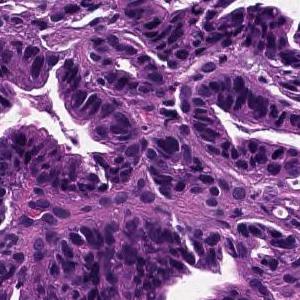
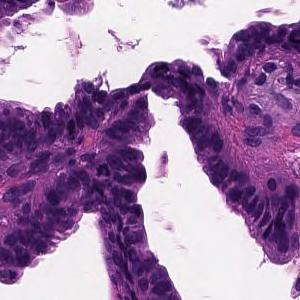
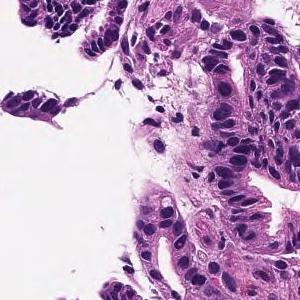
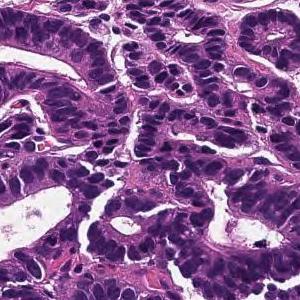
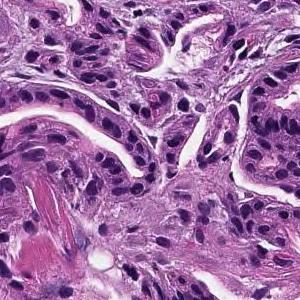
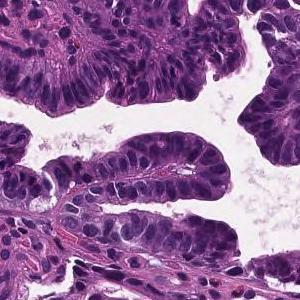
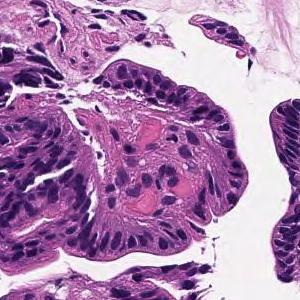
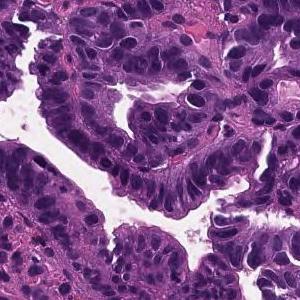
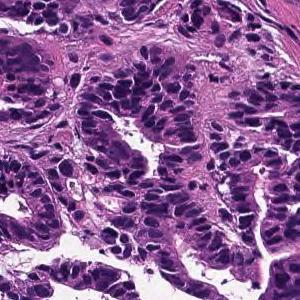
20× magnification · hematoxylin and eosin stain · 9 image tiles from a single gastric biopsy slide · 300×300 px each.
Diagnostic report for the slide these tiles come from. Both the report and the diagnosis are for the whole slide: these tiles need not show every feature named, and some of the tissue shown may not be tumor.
Tumor tissue consisting of large papillary structures is found in the superficial epithelium. Papillary adenocarcinoma.
